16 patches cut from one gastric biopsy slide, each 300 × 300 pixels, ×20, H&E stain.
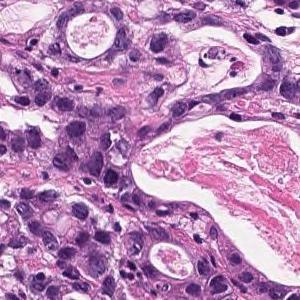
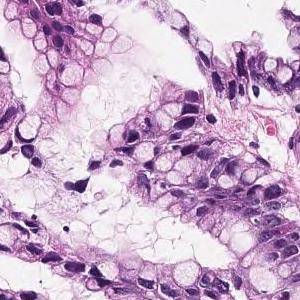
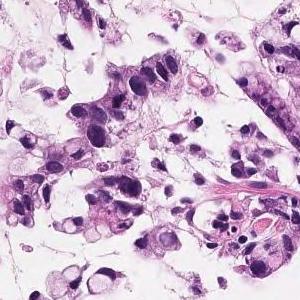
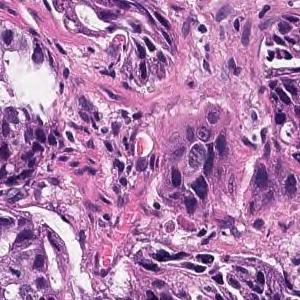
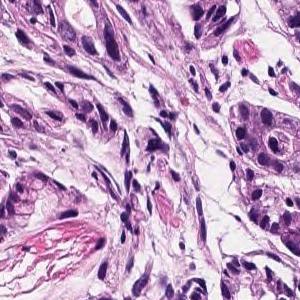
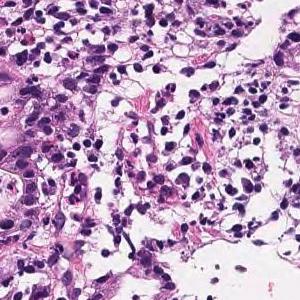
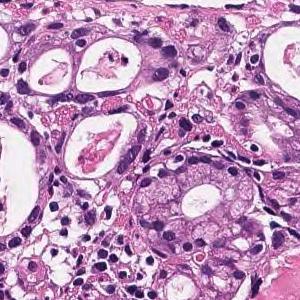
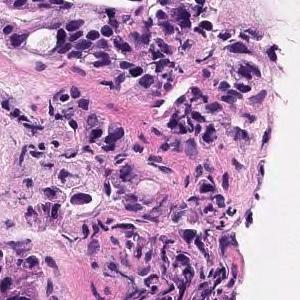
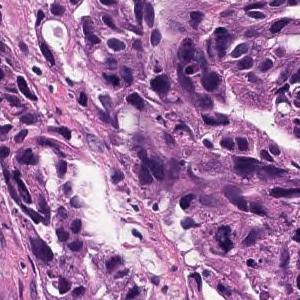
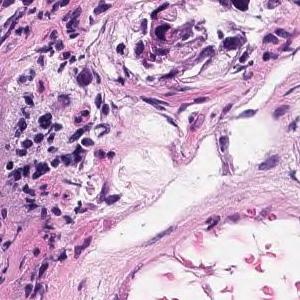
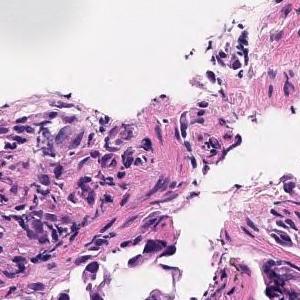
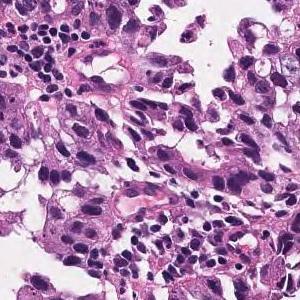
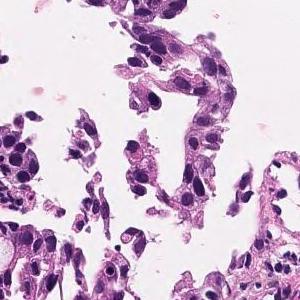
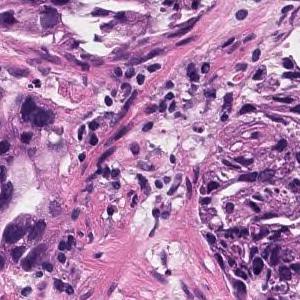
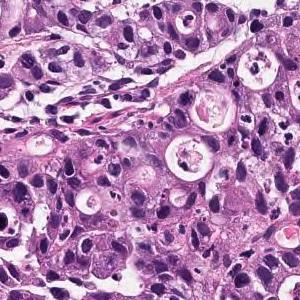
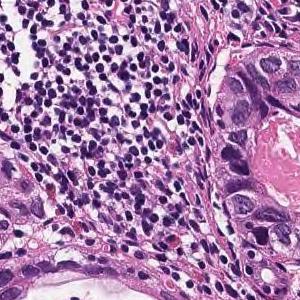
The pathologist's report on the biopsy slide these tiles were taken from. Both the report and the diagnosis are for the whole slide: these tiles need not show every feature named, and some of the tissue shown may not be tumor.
In the superficial epithelium, tumor tissue that invades by forming medium-sized to small, irregular ducts is observed. Moderately differentiated adenocarcinoma.
Histologic type: Moderately differentiated tubular adenocarcinoma.
